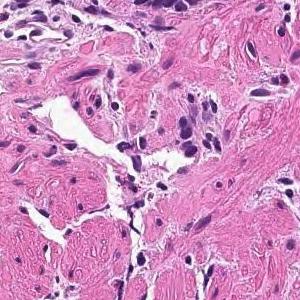
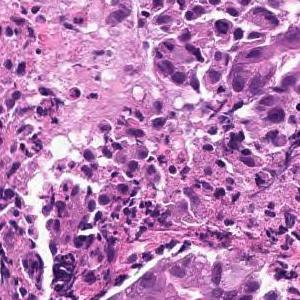
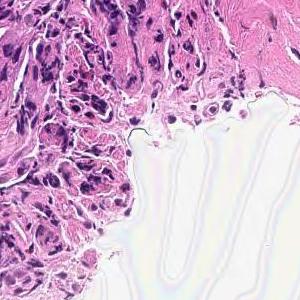
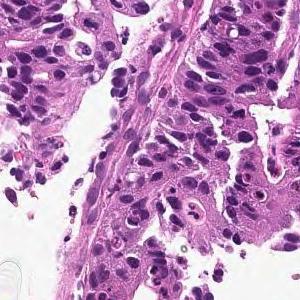
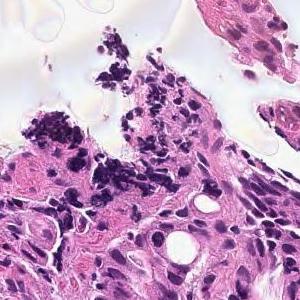
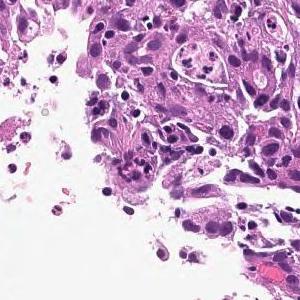
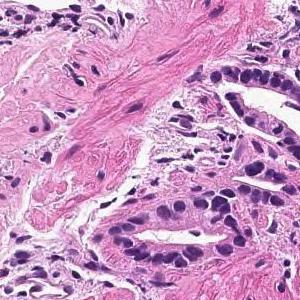
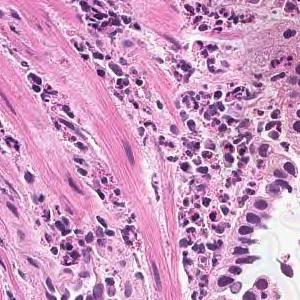
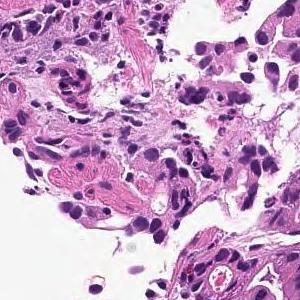
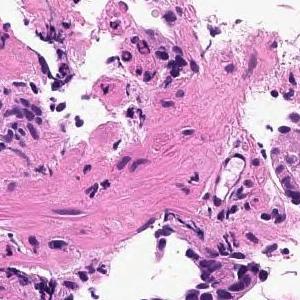
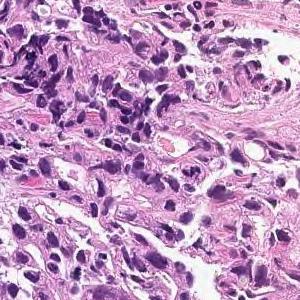
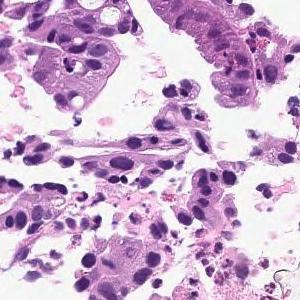
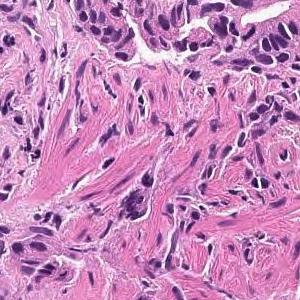
H&E stain; 13 patches cut from one gastric biopsy slide; 300 × 300 pixels each.
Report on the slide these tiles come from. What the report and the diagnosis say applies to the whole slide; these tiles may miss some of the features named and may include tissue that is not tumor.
On the superficial epithelium, tumor tissue consisting of large irregular glandular ducts partially fused and infiltrated is observed. Well to moderately differentiated tubular adenocarcinoma (well differentiated tubular adenocarcinoma, moderately differentiated tubular adenocarcinoma)
Histological subtype: Well to moderately differentiated tubular adenocarcinoma.
